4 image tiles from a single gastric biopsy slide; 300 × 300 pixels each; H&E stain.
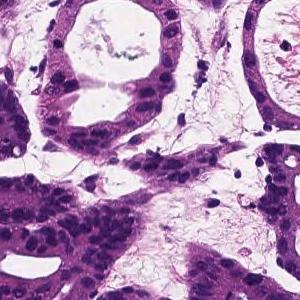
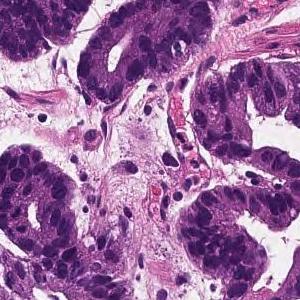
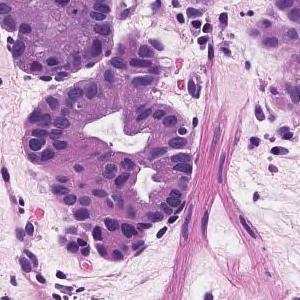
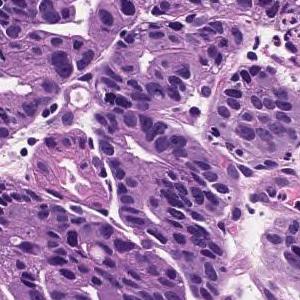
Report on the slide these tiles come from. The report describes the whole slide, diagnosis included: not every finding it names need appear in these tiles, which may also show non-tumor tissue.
Tumor cells are large, highly columnar, large club-shaped nuclei, and are associated with chromatin aggregation. Papillary adenocarcinoma.
